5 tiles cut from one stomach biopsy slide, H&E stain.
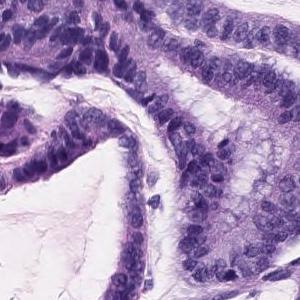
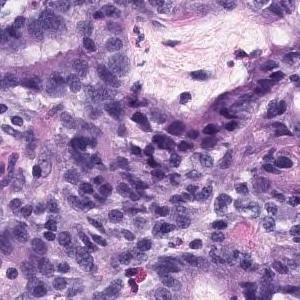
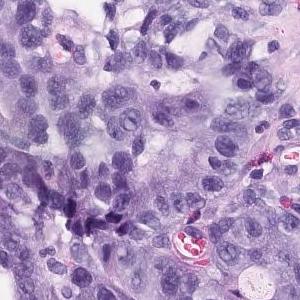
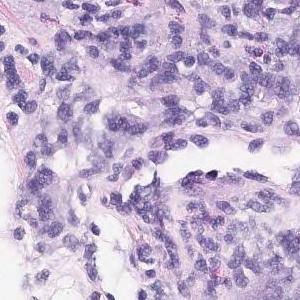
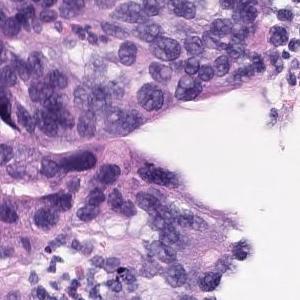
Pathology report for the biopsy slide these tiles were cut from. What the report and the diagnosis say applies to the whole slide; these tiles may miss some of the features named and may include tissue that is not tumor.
In the superficial epithelium, tumor tissue that invades by forming medium-sized to small, irregular ducts is observed. Well to moderately differentiated tubular adenocarcinoma.
